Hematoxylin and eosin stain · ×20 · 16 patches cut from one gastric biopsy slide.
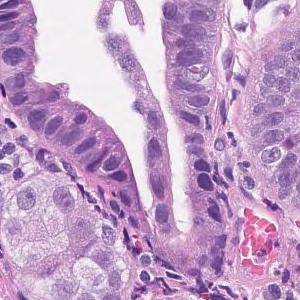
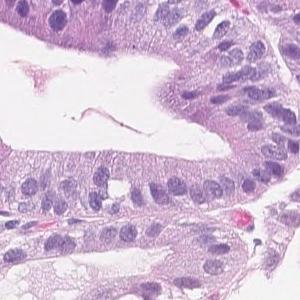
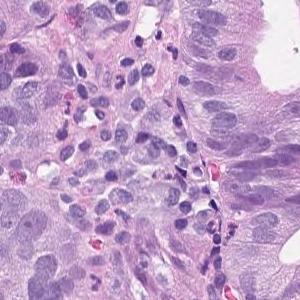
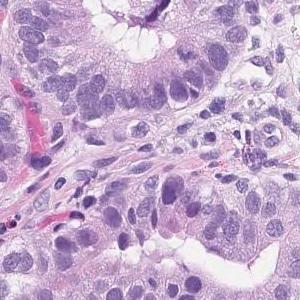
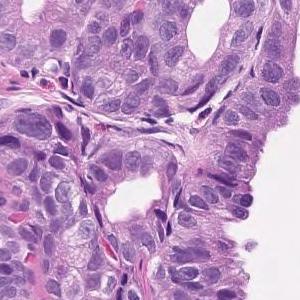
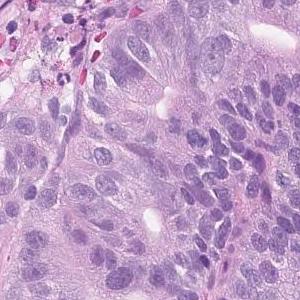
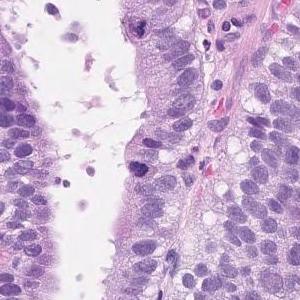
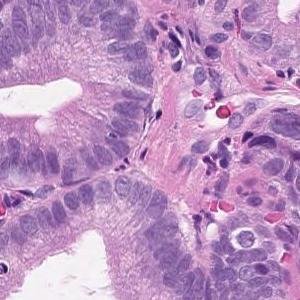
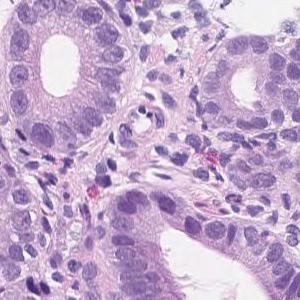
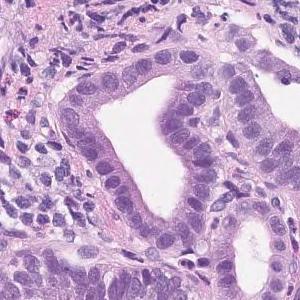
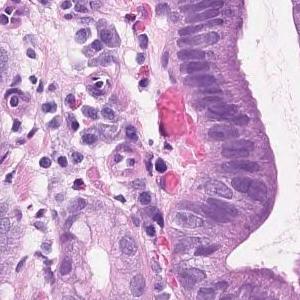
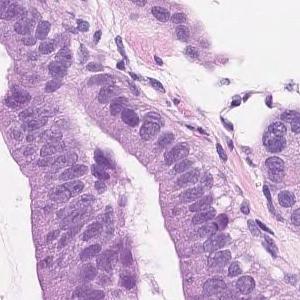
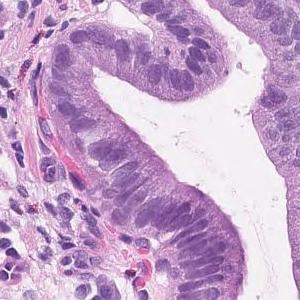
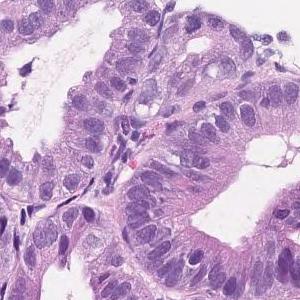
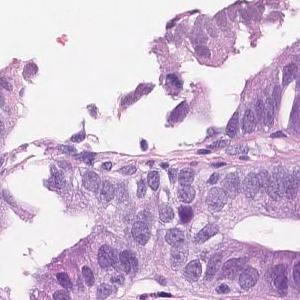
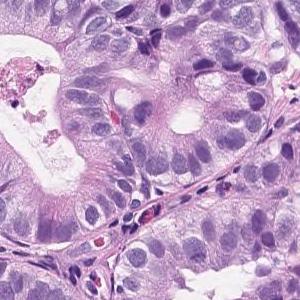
The pathologist's report on the biopsy slide these tiles were taken from. The report describes the whole slide, diagnosis included: not every finding it names need appear in these tiles, which may also show non-tumor tissue.
Tumor tissue consisting of medium-sized and irregular ducts is observed infiltrating in the superficial epithelium. Tumor cells are highly columnar, with nuclei aligned basolaterally and polarized. Well differentiated tubular adenocarcinoma.
